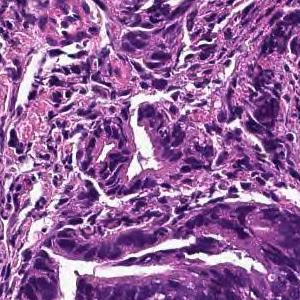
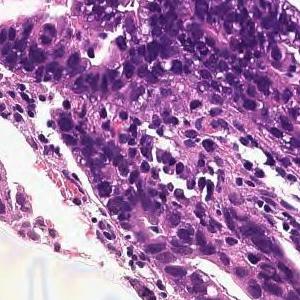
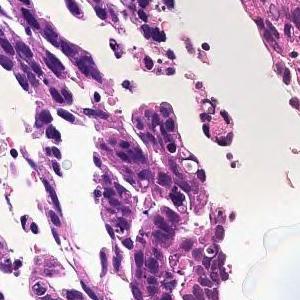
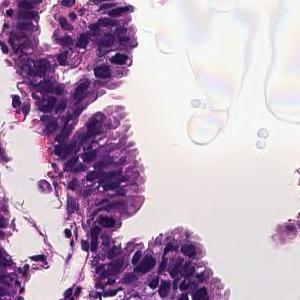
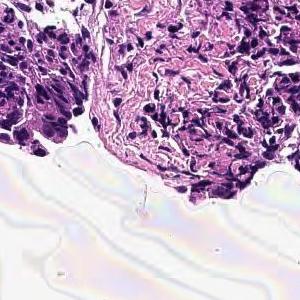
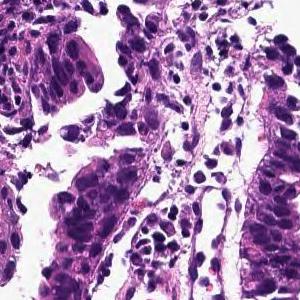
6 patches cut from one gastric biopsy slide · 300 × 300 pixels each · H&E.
The pathologist's report on the biopsy slide these tiles were taken from. The report describes the whole slide, diagnosis included: not every finding it names need appear in these tiles, which may also show non-tumor tissue.
In the superficial epithelium, tumor tissue that invades by forming medium-sized to small, irregular ducts is observed. moderately differentiated tubular adenocarcinoma.
